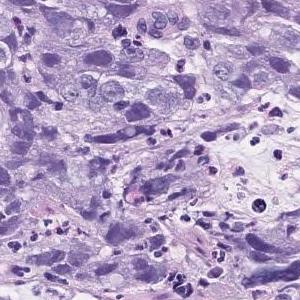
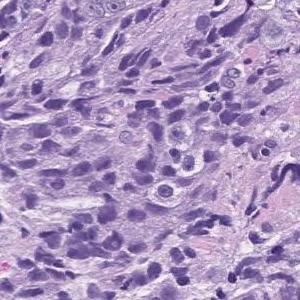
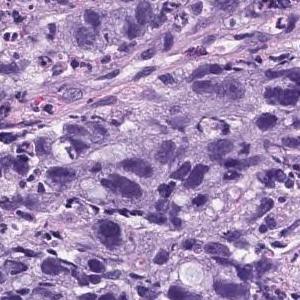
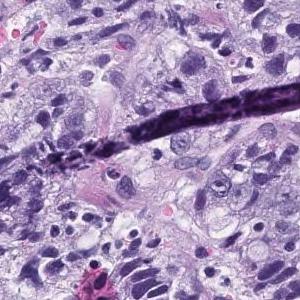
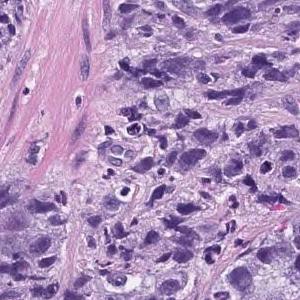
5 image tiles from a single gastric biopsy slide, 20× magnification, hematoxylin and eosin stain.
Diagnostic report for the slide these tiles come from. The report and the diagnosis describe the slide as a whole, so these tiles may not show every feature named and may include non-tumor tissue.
Atypical l cells with atypical nuclei forming solid vesicles or small irregular atypical ducts that proliferate in a complex manner. poorly differentiated adenocarcinoma, solid type, moderately differentiated tubular adenocarcinoma
"Solid type" is a category of the Japanese Classification of Gastric Carcinoma; in the WHO 2019 classification it is tubular adenocarcinoma, poorly differentiated.
